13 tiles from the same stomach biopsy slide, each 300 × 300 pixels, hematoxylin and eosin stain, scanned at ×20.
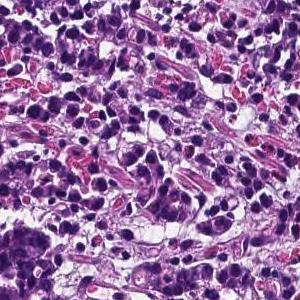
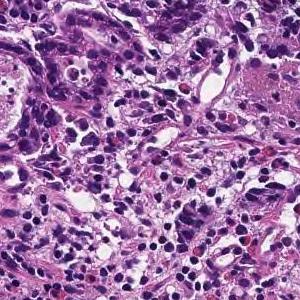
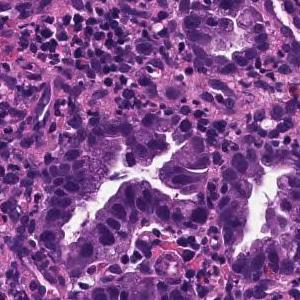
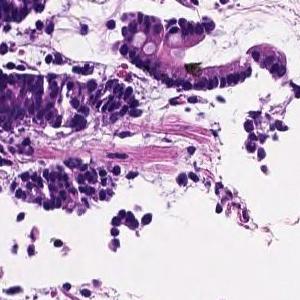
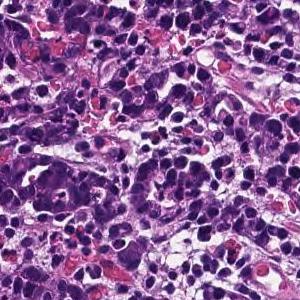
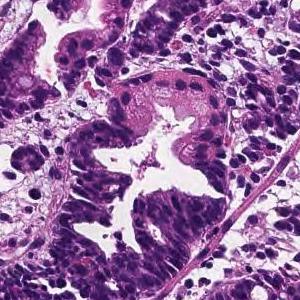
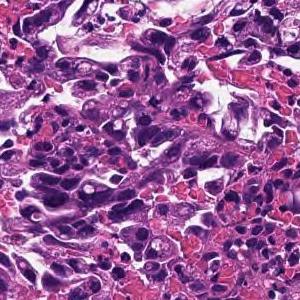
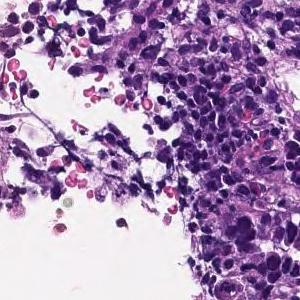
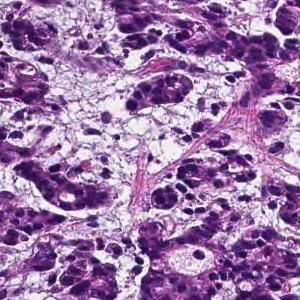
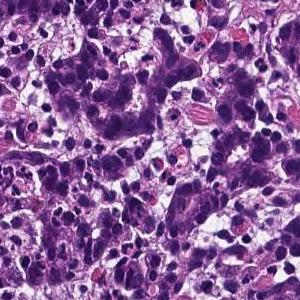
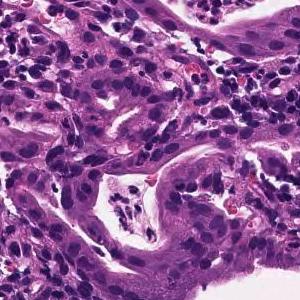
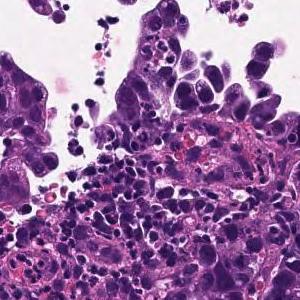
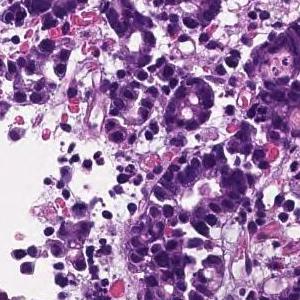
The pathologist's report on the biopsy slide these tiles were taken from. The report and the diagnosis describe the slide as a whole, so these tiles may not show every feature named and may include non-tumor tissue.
In the superficial epithelium, tumor tissue that invades by forming medium-sized to small, irregular ducts is observed. moderately differentiated tubular adenocarcinoma.
